9 tiles cut from one stomach biopsy slide; 300 × 300 pixels each; H&E.
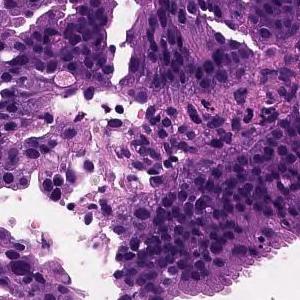
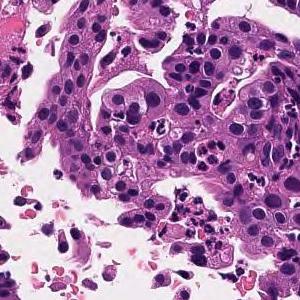
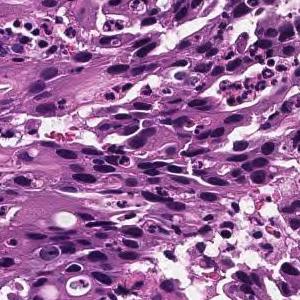
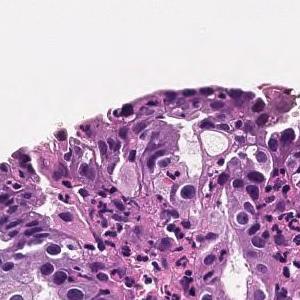
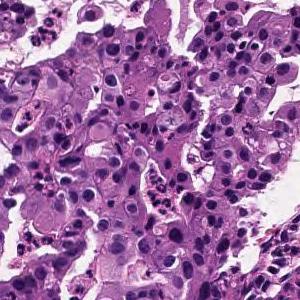
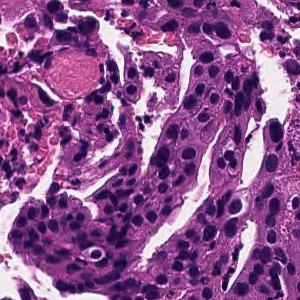
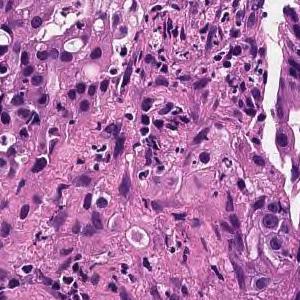
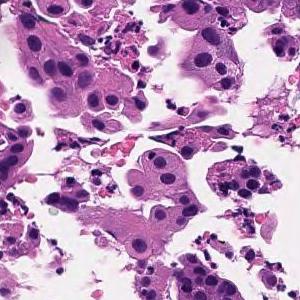
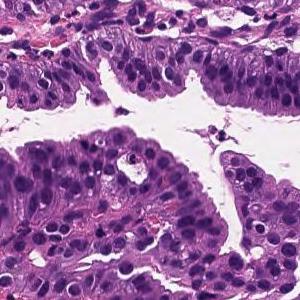
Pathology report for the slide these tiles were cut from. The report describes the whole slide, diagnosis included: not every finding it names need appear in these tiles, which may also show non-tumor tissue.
On the superficial epithelium, tumor tissue consisting of large, irregular glandular ducts partially fused and infiltrated is observed. Well to moderately differentiated tubular adenocarcinoma (well differentiated tubular adenocarcinoma, moderately differentiated tubular adenocarcinoma)
Subtype: Well to moderately differentiated tubular adenocarcinoma.
